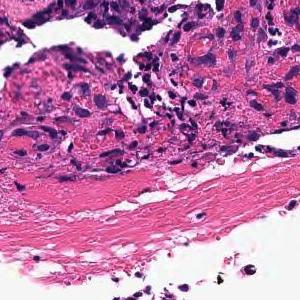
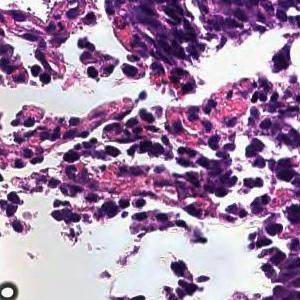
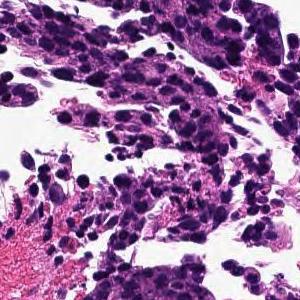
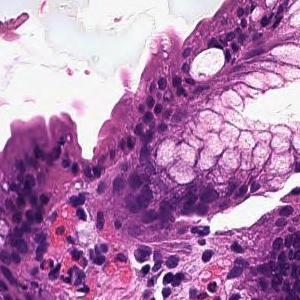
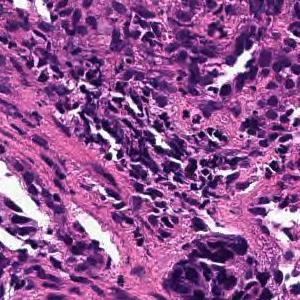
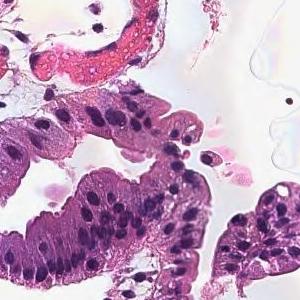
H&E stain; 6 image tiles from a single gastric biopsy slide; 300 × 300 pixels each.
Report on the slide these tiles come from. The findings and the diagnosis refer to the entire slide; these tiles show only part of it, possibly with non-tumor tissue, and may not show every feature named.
In the superficial epithelium, tumor tissue that invades by forming medium-sized to small, irregular ducts is observed. moderately differentiated tubular adenocarcinoma.
